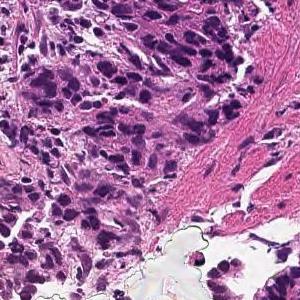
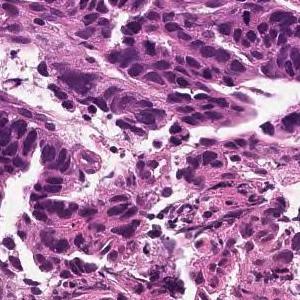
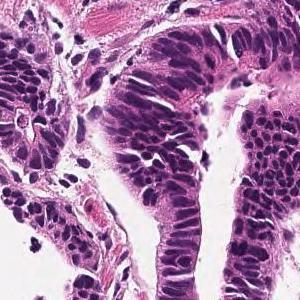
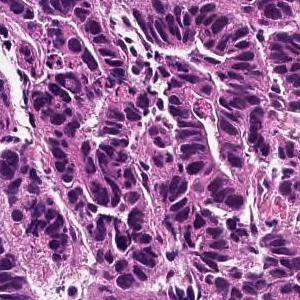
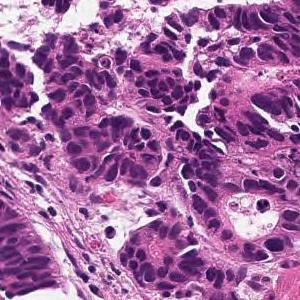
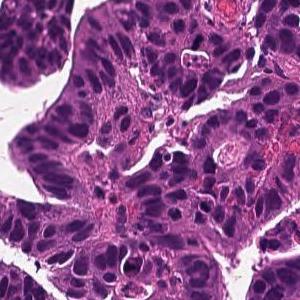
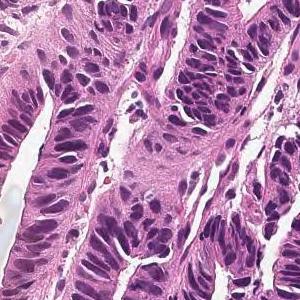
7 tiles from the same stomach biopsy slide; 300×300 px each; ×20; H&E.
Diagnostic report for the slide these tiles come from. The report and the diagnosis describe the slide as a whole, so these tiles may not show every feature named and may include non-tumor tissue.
From the superficial epithelium to the muscularis mucosae, tumor tissue consisting of medium-sized and irregular glandular ducts infiltrating is observed. Well differentiated tubular adenocarcinoma
